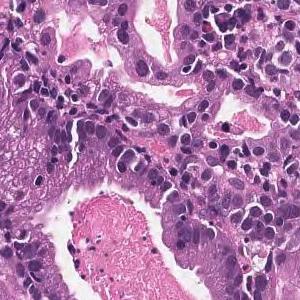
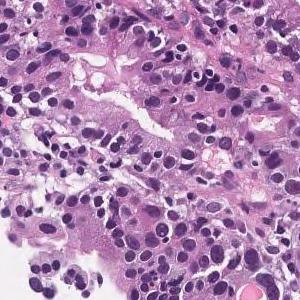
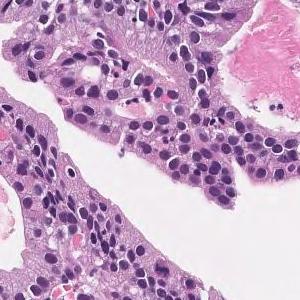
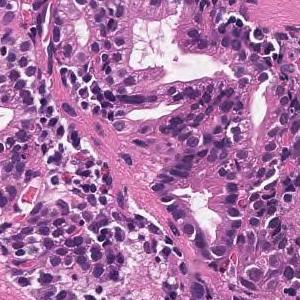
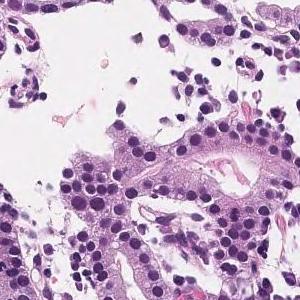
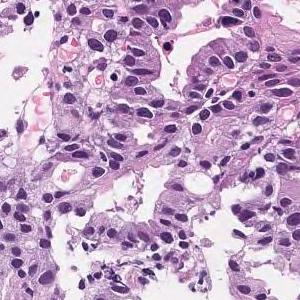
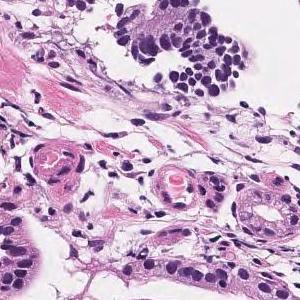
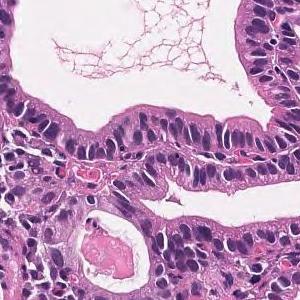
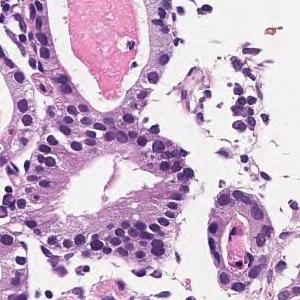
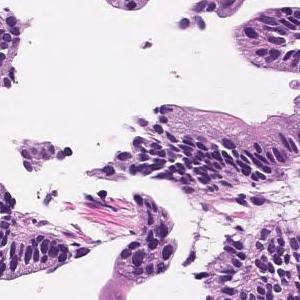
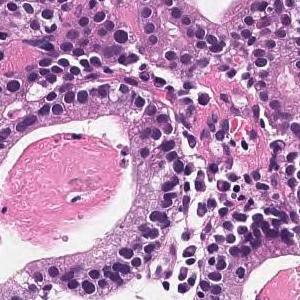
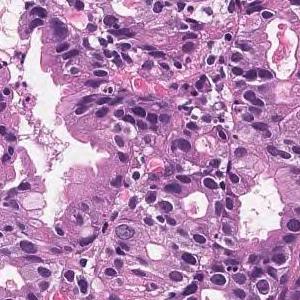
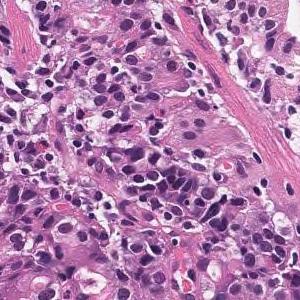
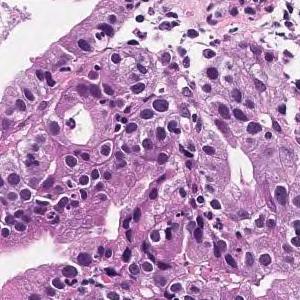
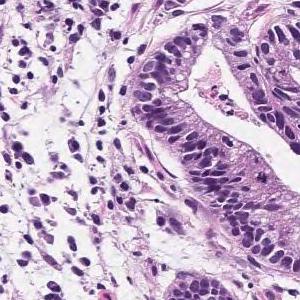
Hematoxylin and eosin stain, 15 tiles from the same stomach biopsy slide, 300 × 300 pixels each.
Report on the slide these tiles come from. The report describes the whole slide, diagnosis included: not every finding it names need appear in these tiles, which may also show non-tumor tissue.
Medium to small, irregular glandular ducts are formed in the superficial epithelium, and in some cases, the glandular ducts are fused to show solid alveolar lesions and infiltrating tumor tissue is observed. Moderately to poorly differentiated adenocarcinoma.
